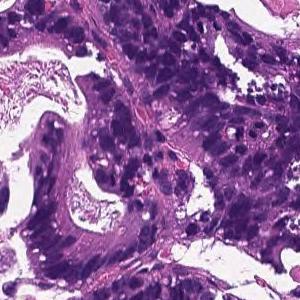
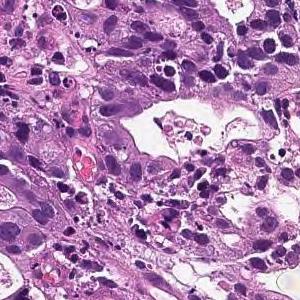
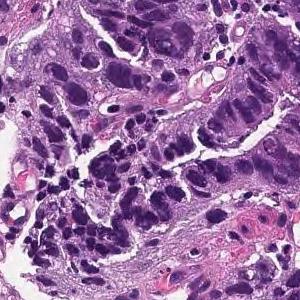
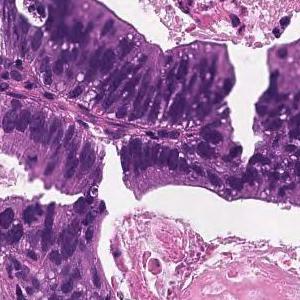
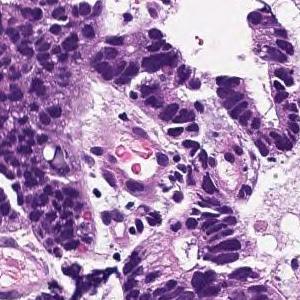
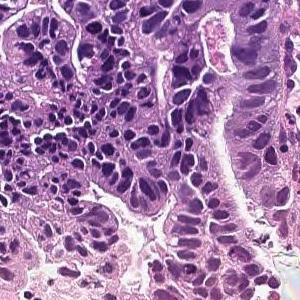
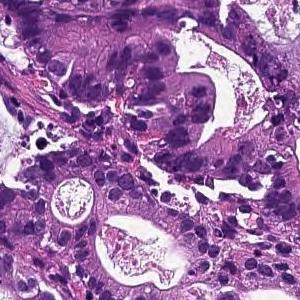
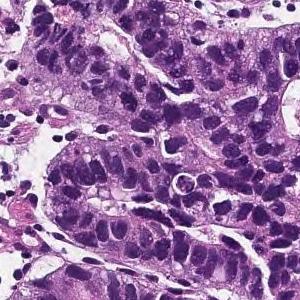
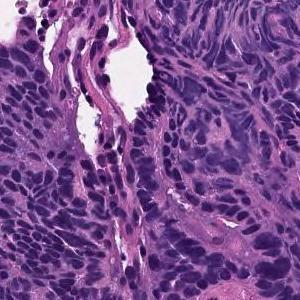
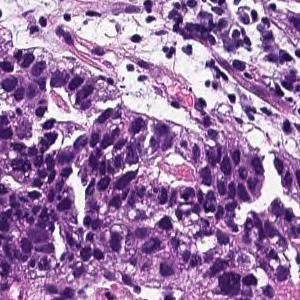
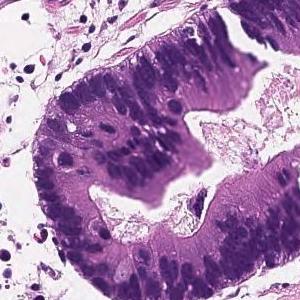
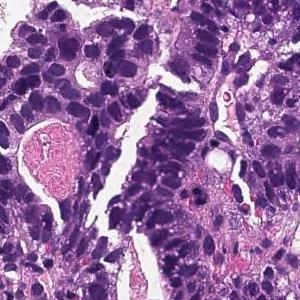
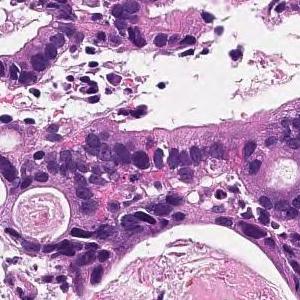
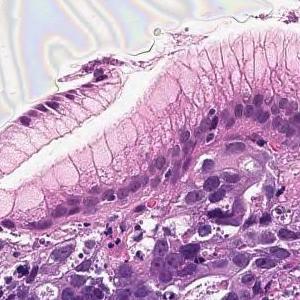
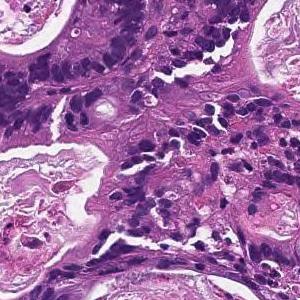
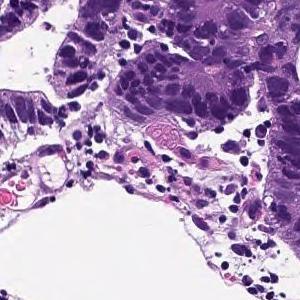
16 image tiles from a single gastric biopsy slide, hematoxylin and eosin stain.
Report on the slide these tiles come from. The findings and the diagnosis refer to the entire slide; these tiles show only part of it, possibly with non-tumor tissue, and may not show every feature named.
In the superficial epithelium, tumor tissue that invades by forming medium-sized to small, irregular ducts is observed. moderately differentiated tubular adenocarcinoma.
